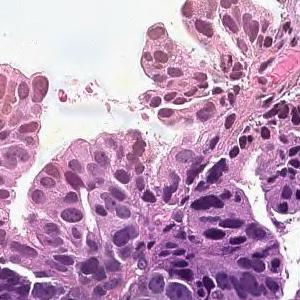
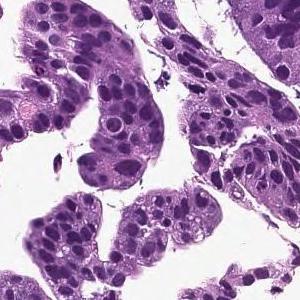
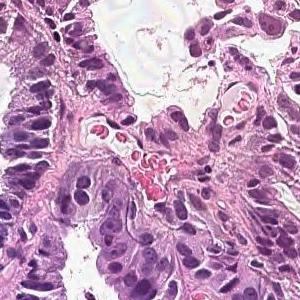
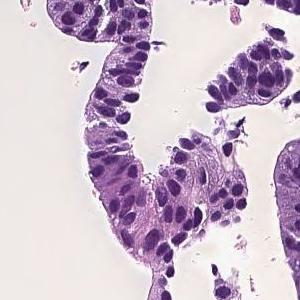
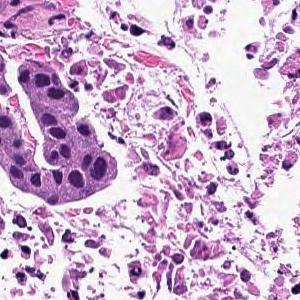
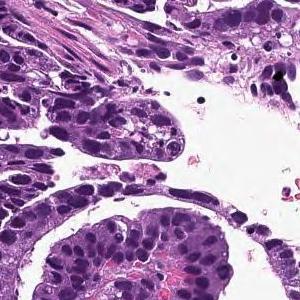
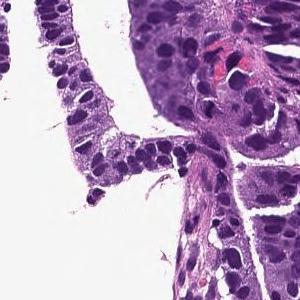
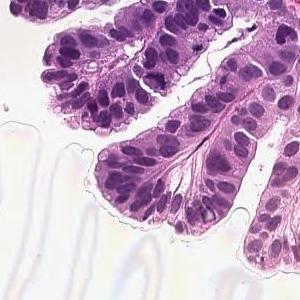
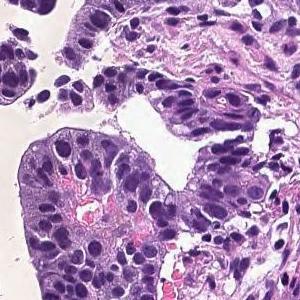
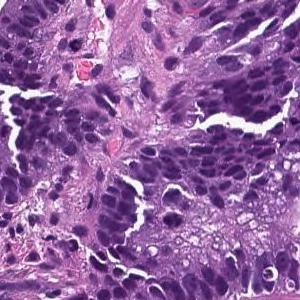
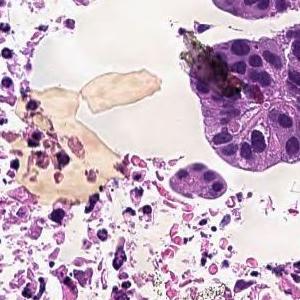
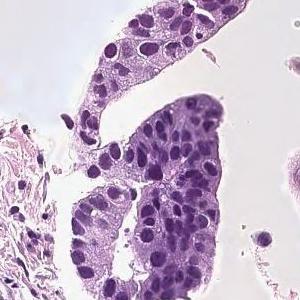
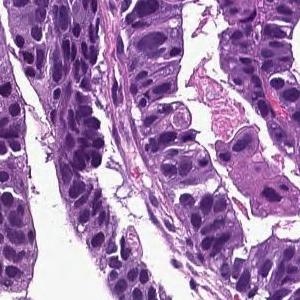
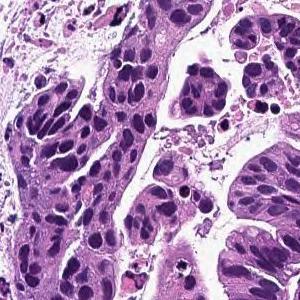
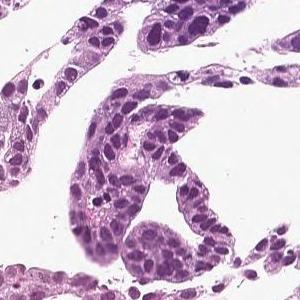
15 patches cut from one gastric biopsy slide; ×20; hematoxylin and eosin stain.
Pathology report for the slide these tiles were cut from. Both the report and the diagnosis are for the whole slide: these tiles need not show every feature named, and some of the tissue shown may not be tumor.
Tumor cells are large, highly columnar, large club-shaped nuclei, and are associated with chromatin aggregation. Papillary adenocarcinoma.
